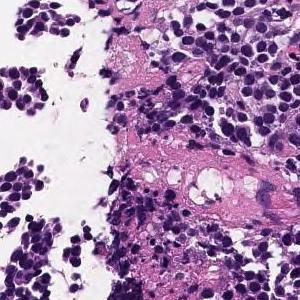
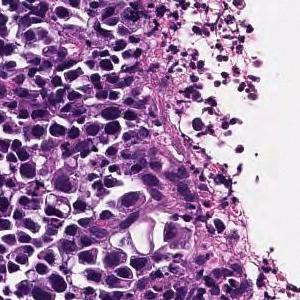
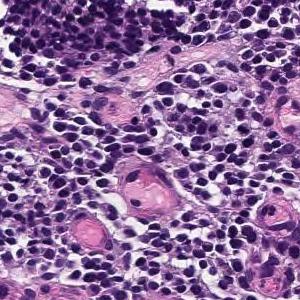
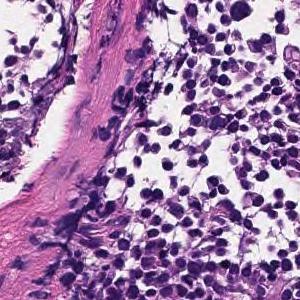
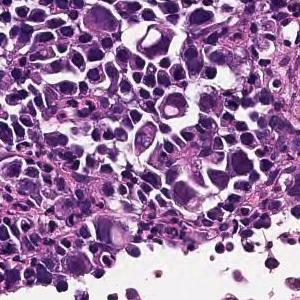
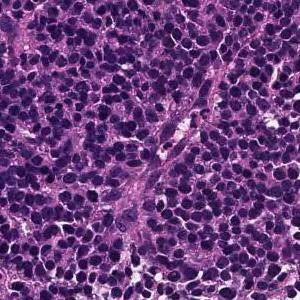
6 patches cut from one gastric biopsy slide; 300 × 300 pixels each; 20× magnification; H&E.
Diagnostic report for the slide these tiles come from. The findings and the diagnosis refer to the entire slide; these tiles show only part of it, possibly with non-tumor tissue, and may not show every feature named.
Large sheet-like or diffusely infiltrating tumor tissue is found in the superficial epithelium. Poorly differentiated adenocarcinoma, solid-type
Histological subtype: Poorly differentiated adenocarcinoma, solid type, a category of the Japanese Classification of Gastric Carcinoma; in the WHO 2019 classification it is tubular adenocarcinoma, poorly differentiated.
